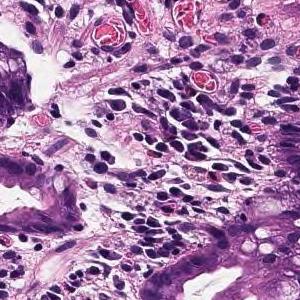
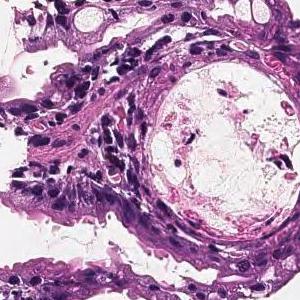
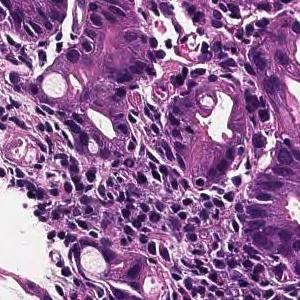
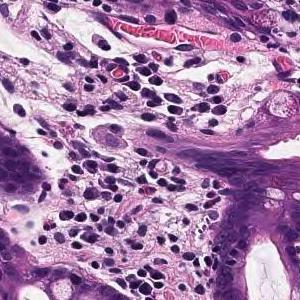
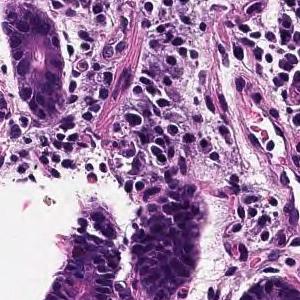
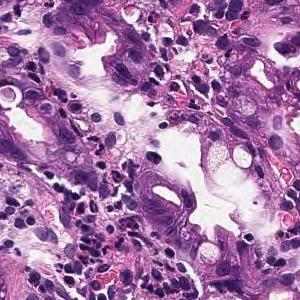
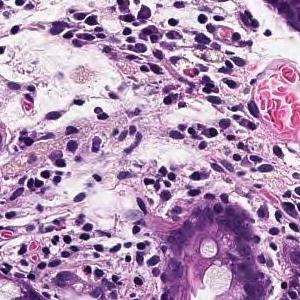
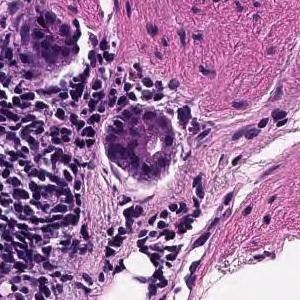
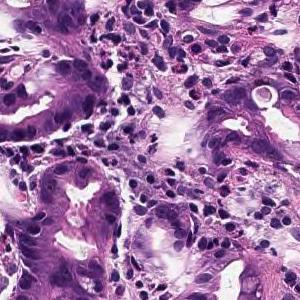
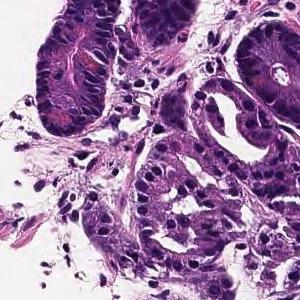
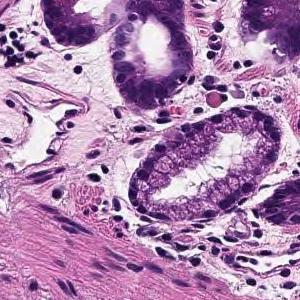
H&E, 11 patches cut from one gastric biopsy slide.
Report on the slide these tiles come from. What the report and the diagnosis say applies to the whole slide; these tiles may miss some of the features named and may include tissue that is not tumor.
In the superficial epithelium, tumor tissue that invades by forming medium-sized to small, irregular ducts is observed. moderately differentiated tubular adenocarcinoma.
